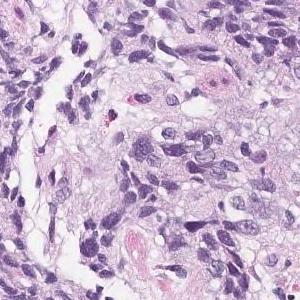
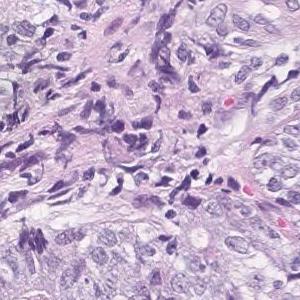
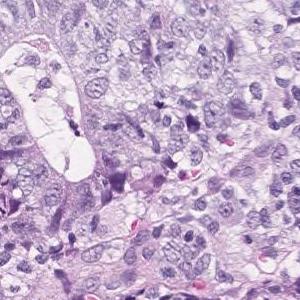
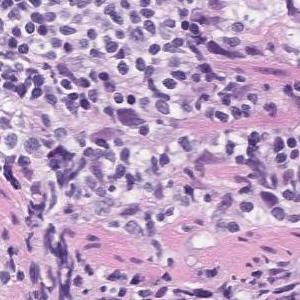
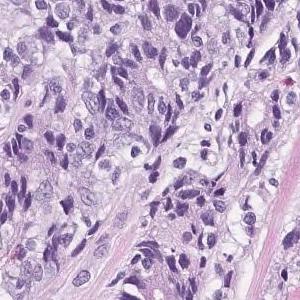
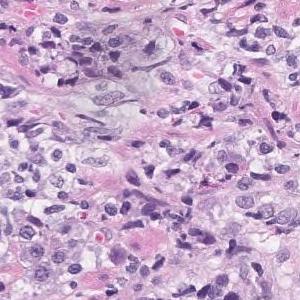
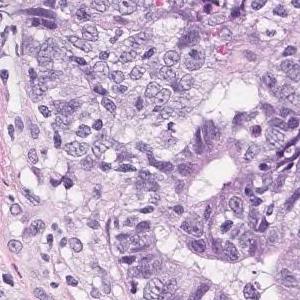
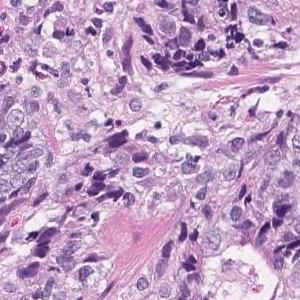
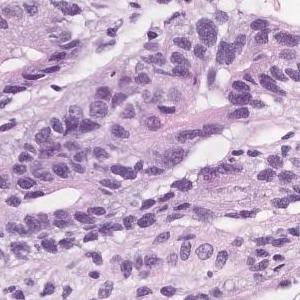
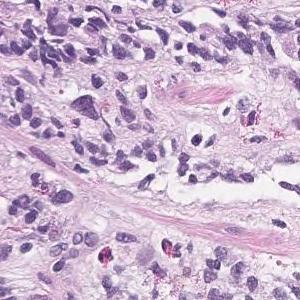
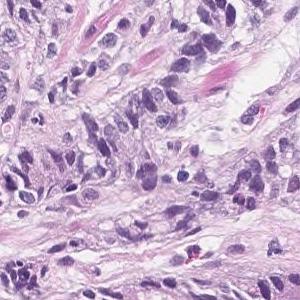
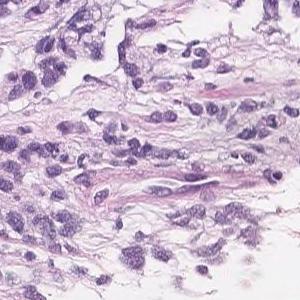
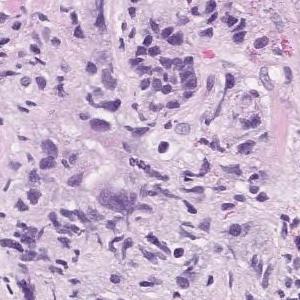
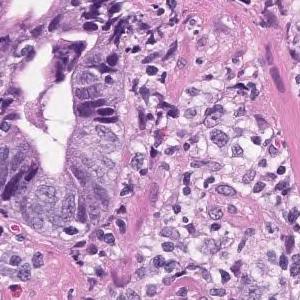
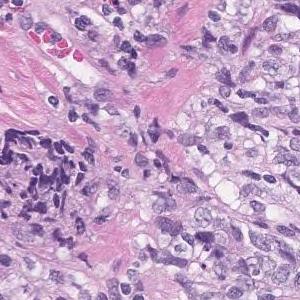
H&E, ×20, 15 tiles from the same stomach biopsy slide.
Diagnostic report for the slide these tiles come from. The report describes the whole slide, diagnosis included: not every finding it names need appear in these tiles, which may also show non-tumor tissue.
Highly columnar epithelium with disordered nuclear localization proliferates showing fusion ductal construction. moderately differentiated tubular adenocarcinoma
